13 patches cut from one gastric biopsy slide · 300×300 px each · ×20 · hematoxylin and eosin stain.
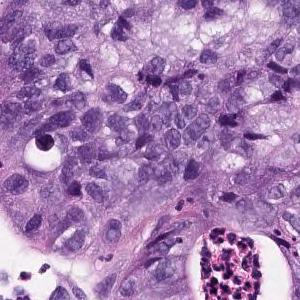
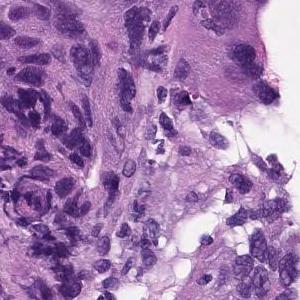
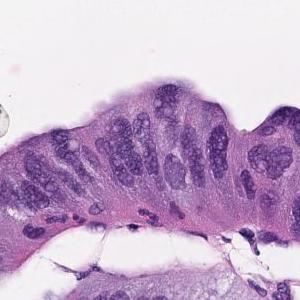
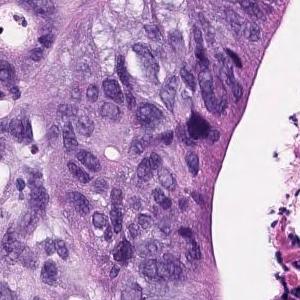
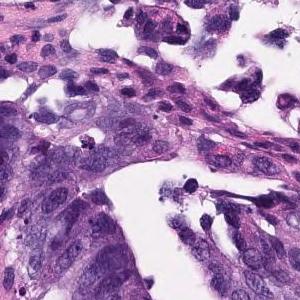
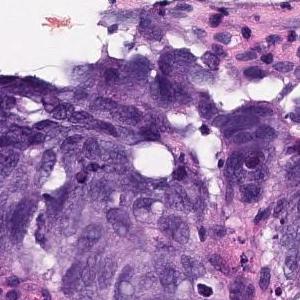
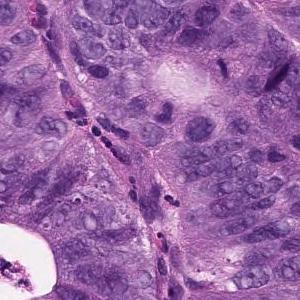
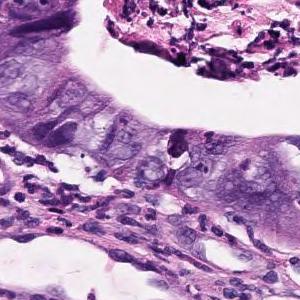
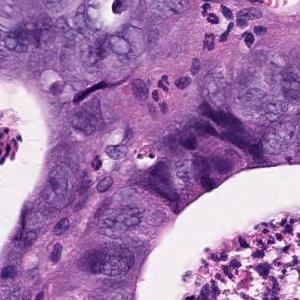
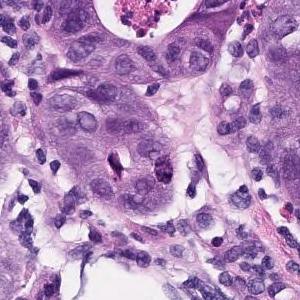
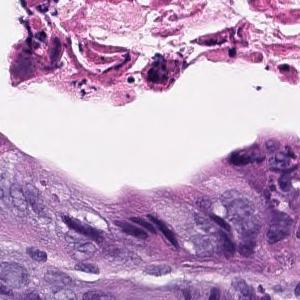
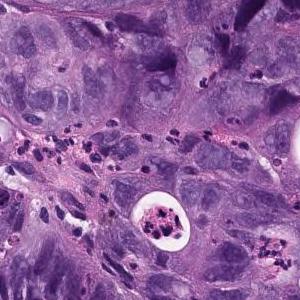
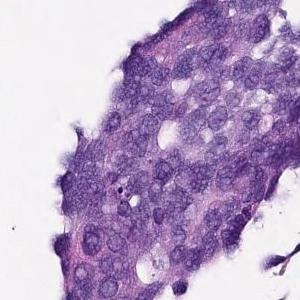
Report on the slide these tiles come from. What the report and the diagnosis say applies to the whole slide; these tiles may miss some of the features named and may include tissue that is not tumor.
In the superficial epithelium, tumor tissue that invades by forming medium-sized to small, irregular ducts is observed. Moderately differentiated adenocarcinoma.
Tumor subtype: moderately differentiated tubular adenocarcinoma.
